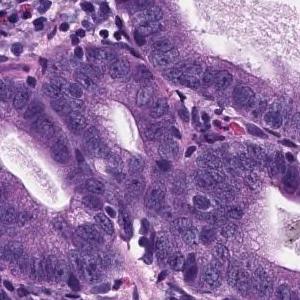
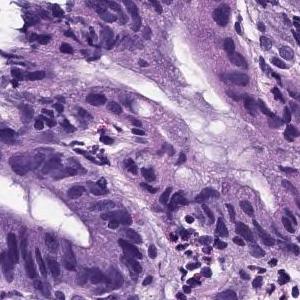
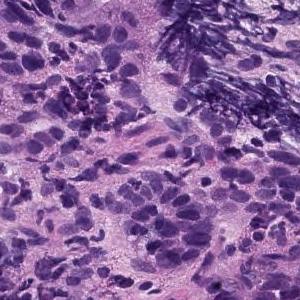
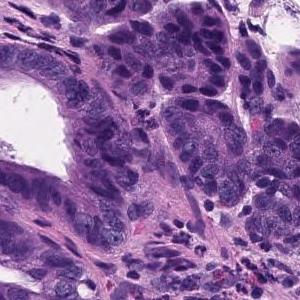
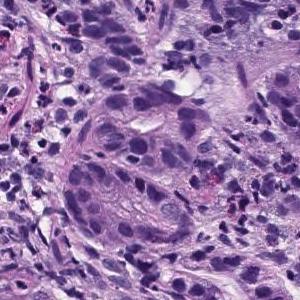
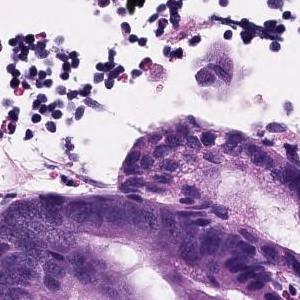
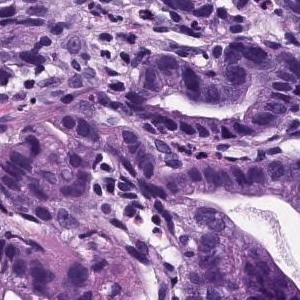
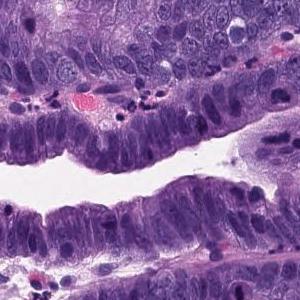
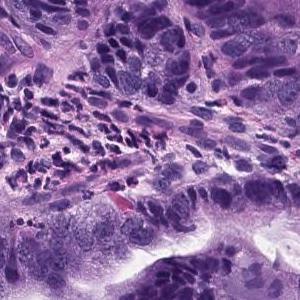
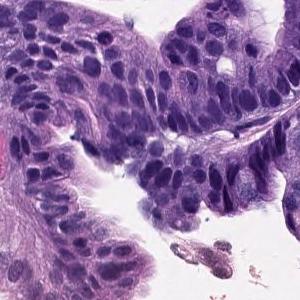
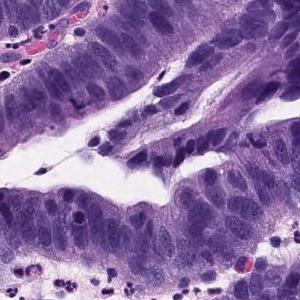
11 image tiles from a single gastric biopsy slide, H&E stain, scanned at ×20.
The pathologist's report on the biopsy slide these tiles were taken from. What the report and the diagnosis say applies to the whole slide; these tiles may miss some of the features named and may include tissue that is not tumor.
Tumor tissue consisting of large papillary structures is found in the superficial epithelium. Papillary adenocarcinoma.
